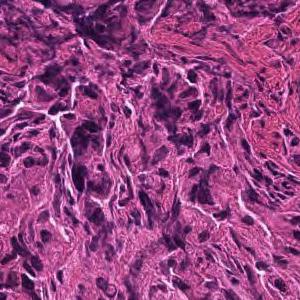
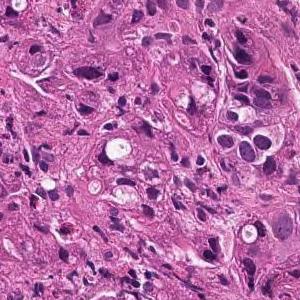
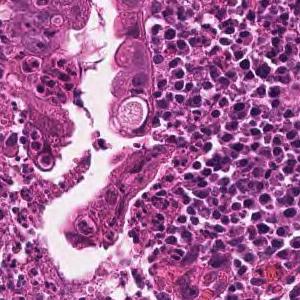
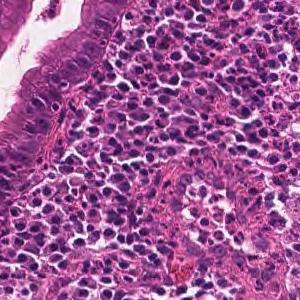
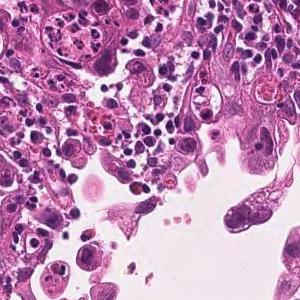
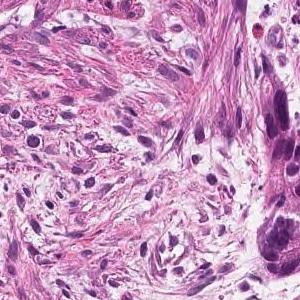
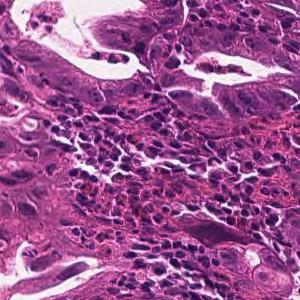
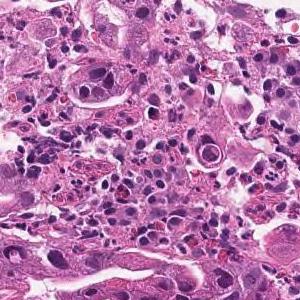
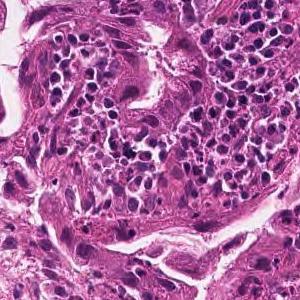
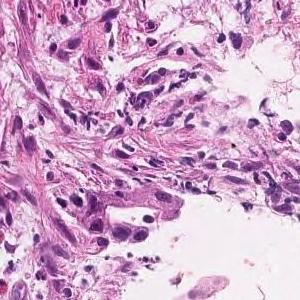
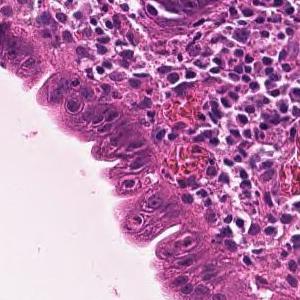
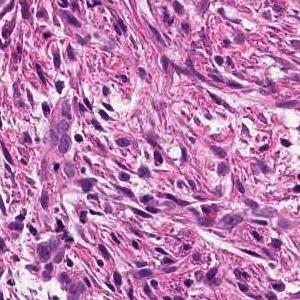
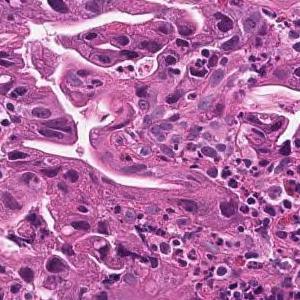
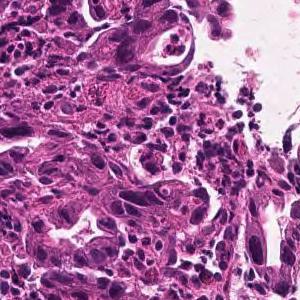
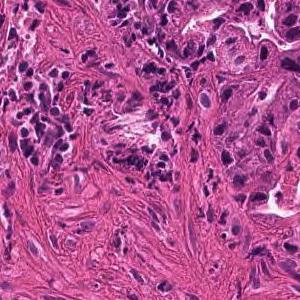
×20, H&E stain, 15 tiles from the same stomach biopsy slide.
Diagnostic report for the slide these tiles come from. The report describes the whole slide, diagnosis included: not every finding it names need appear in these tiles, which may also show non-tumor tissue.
Medium to small, irregular glandular ducts are formed in the superficial epithelium, and in some cases, the glandular ducts are fused to show solid alveolar lesions and infiltrating tumor tissue is observed. Moderately to poorly differentiated adenocarcinoma.
